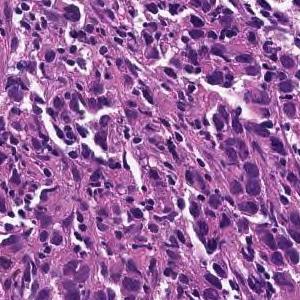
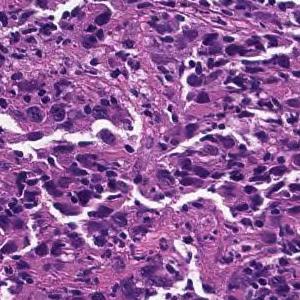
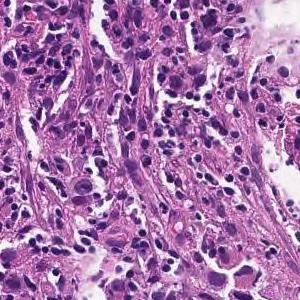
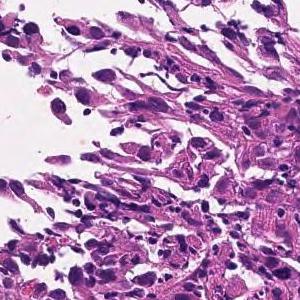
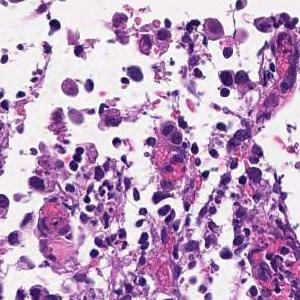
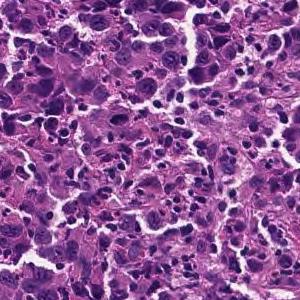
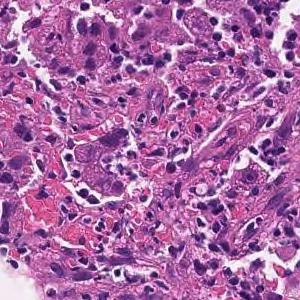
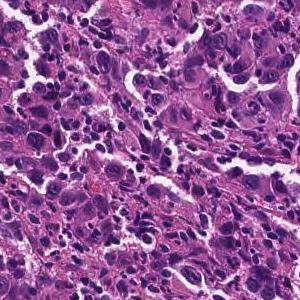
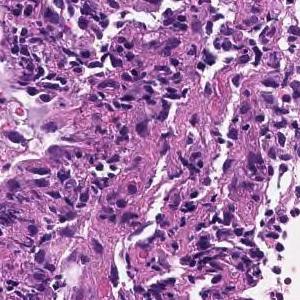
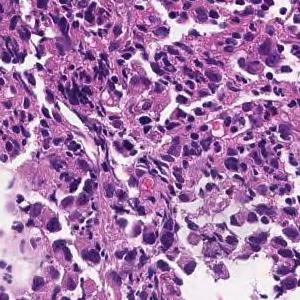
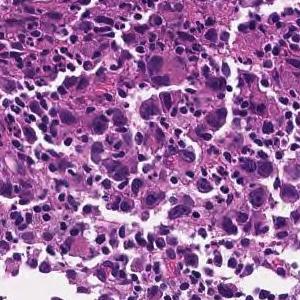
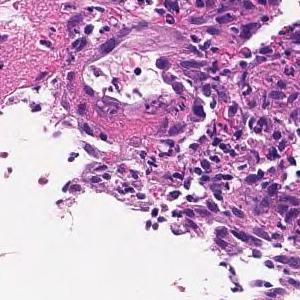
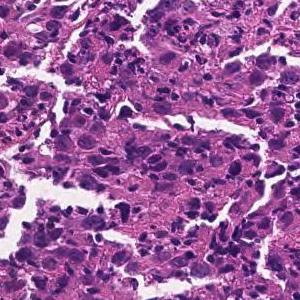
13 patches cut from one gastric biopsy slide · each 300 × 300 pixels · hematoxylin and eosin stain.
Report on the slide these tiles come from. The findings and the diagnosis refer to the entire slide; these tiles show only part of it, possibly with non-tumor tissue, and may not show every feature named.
The superficial epithelium shows a large sheet-like shape, and some tumor tissue infiltrates with small irregular ducts. Poorly differentiated adenocarcinoma, solid-type (poorly differentiated adenocarcinoma, solid type)
Tumor subtype: poorly differentiated adenocarcinoma, solid type, a category of the Japanese Classification of Gastric Carcinoma; in the WHO 2019 classification it is tubular adenocarcinoma, poorly differentiated.
